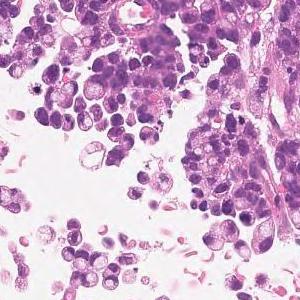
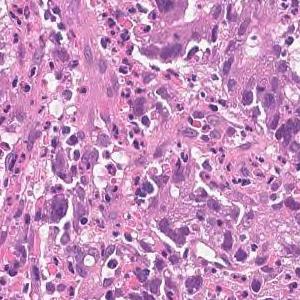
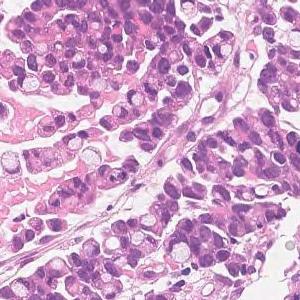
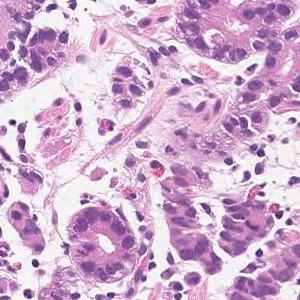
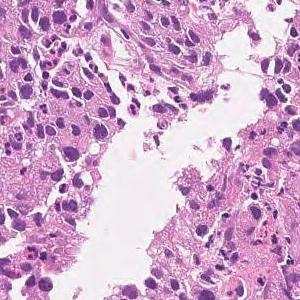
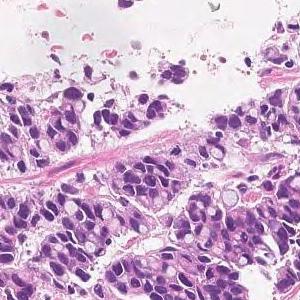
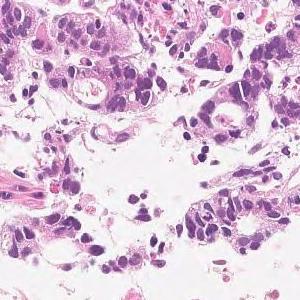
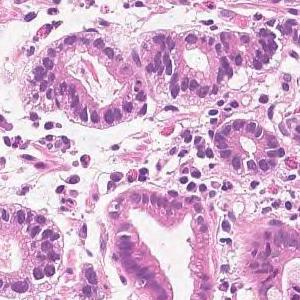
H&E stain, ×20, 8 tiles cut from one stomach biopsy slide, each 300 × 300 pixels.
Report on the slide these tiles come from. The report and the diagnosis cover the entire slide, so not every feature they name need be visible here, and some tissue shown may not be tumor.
Medium to small, irregular glandular ducts are formed in the superficial epithelium, and in some cases, the glandular ducts are fused to show solid alveolar lesions and infiltrating tumor tissue is observed. Moderately to poorly differentiated adenocarcinoma.
